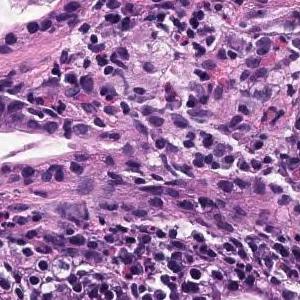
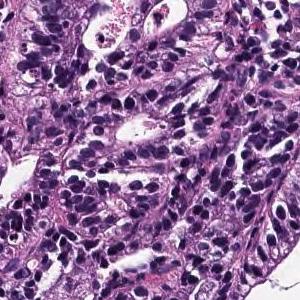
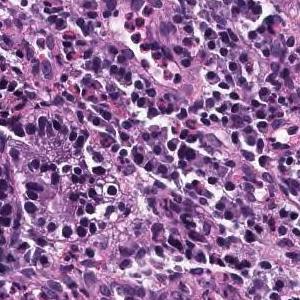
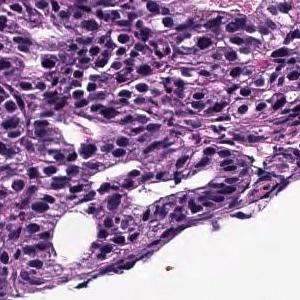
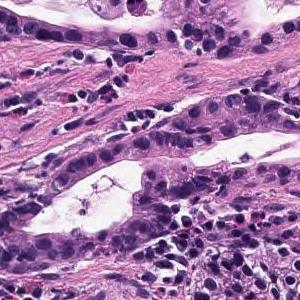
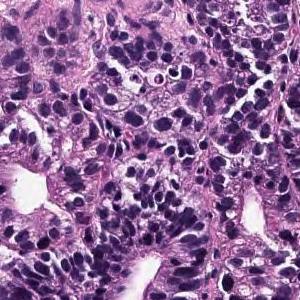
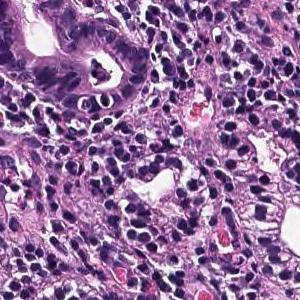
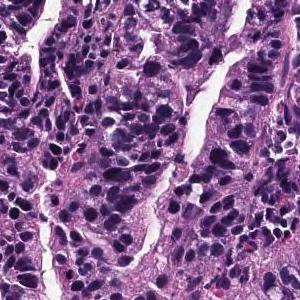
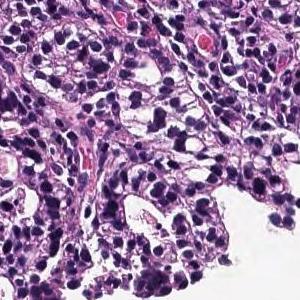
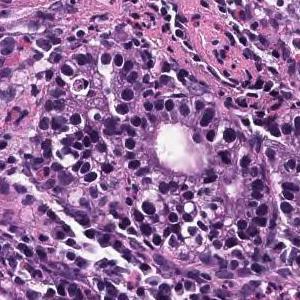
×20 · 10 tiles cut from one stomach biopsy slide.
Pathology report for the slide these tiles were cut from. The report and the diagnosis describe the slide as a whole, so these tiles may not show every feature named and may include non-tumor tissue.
Neoplastic cells with atypical nuclei of different sizes exhibit tubular glands and infiltrate and proliferate. Moderately differentiated tubular adenocarcinoma.
